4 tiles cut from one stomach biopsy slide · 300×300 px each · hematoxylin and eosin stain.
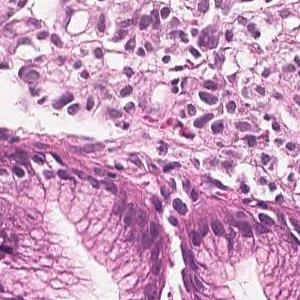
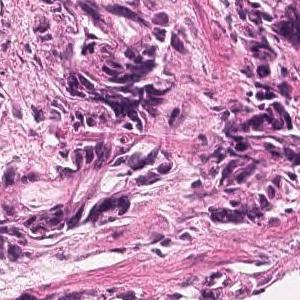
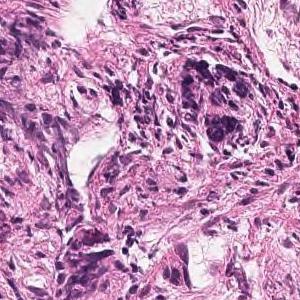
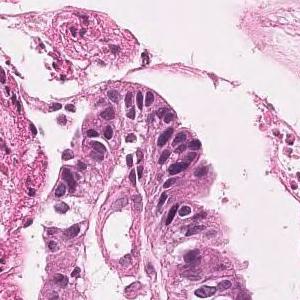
Report on the slide these tiles come from. The report and the diagnosis cover the entire slide, so not every feature they name need be visible here, and some tissue shown may not be tumor.
On the superficial epithelium, tumor tissue consisting of large, irregular glandular ducts partially fused and infiltrated is observed. Well to moderately differentiated tubular adenocarcinoma (well differentiated tubular adenocarcinoma, moderately differentiated tubular adenocarcinoma)
Tumor subtype: well to moderately differentiated tubular adenocarcinoma.
